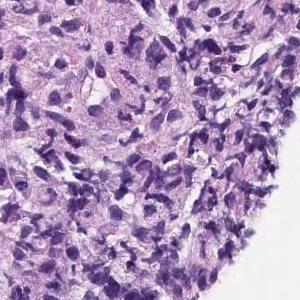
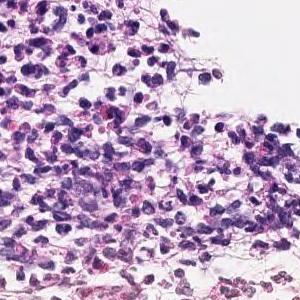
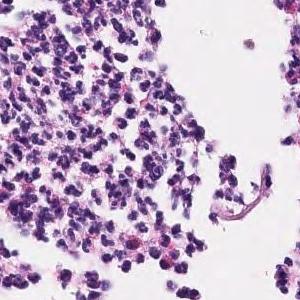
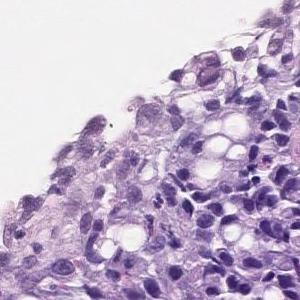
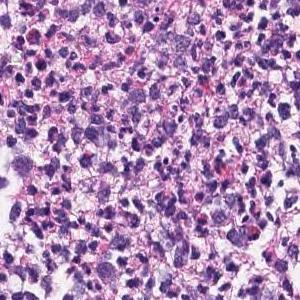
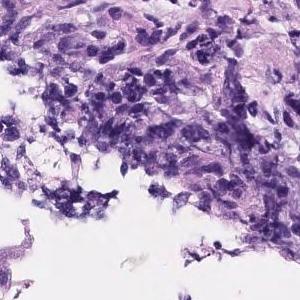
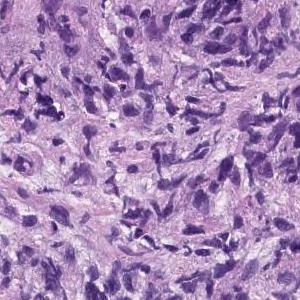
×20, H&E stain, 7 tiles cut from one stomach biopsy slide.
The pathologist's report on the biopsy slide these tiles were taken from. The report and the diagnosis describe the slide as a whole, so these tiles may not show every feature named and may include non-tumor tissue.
The superficial epithelium shows a large sheet-like shape, and some tumor tissue infiltrates with small irregular ducts. Poorly differentiated adenocarcinoma, solid-type
Classified as poorly differentiated adenocarcinoma, solid type. This name comes from the Japanese Classification of Gastric Carcinoma; the WHO 2019 classification calls it tubular adenocarcinoma, poorly differentiated.
